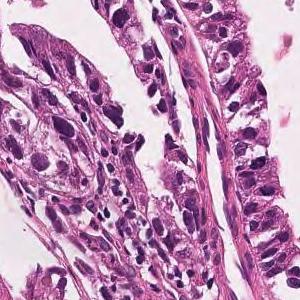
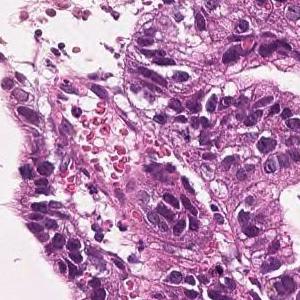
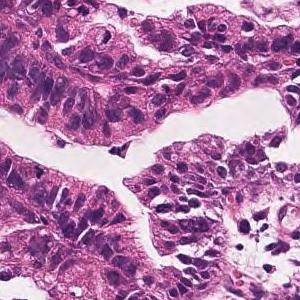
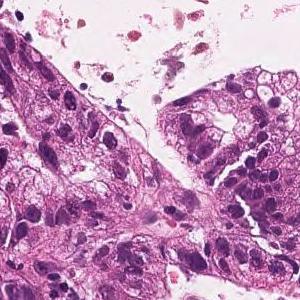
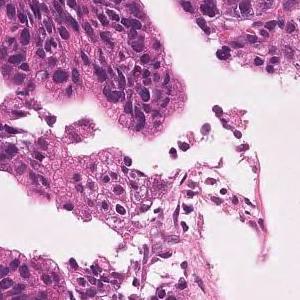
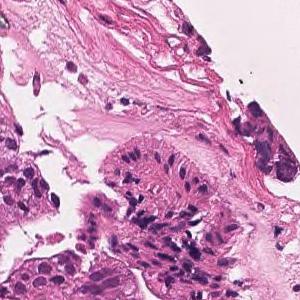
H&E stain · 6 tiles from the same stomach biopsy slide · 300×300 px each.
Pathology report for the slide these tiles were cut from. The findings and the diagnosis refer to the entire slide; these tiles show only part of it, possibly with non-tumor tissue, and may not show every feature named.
On the superficial epithelium, tumor tissue consisting of large, irregular glandular ducts partially fused and infiltrated is observed. Well to moderately differentiated tubular adenocarcinoma (well differentiated tubular adenocarcinoma, moderately differentiated tubular adenocarcinoma)
Histologic type: Well to moderately differentiated tubular adenocarcinoma.
